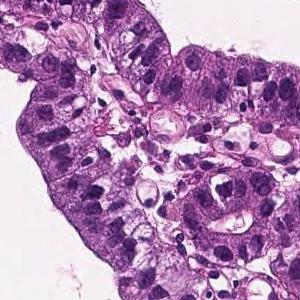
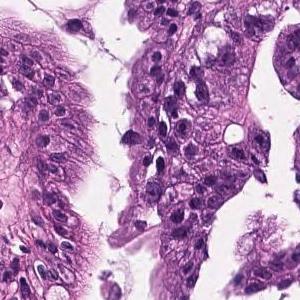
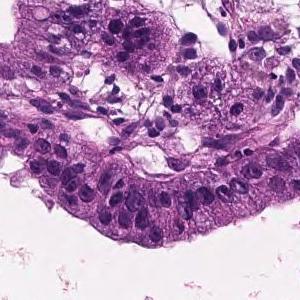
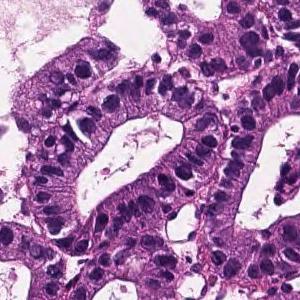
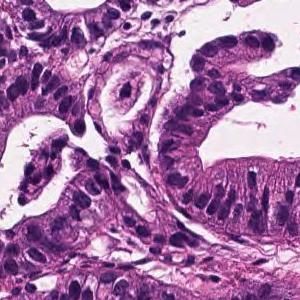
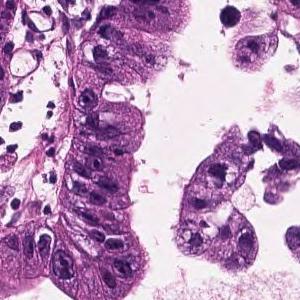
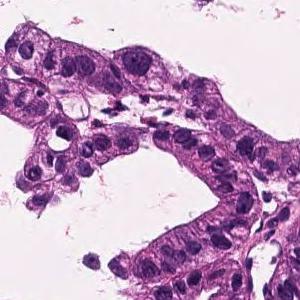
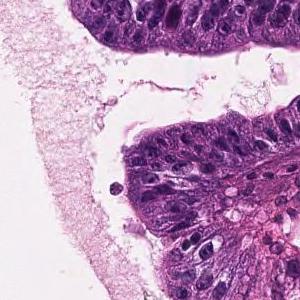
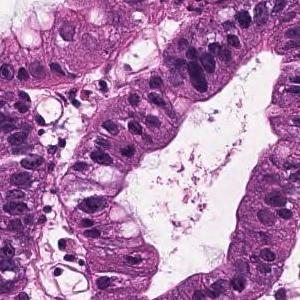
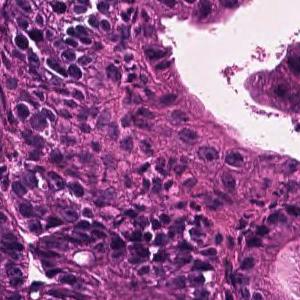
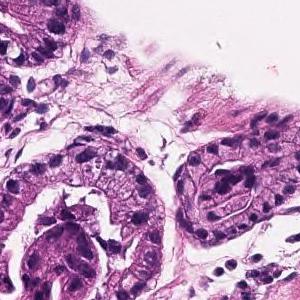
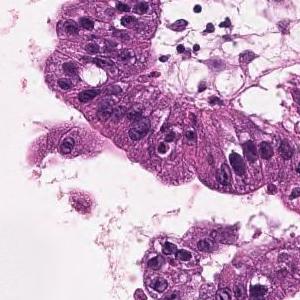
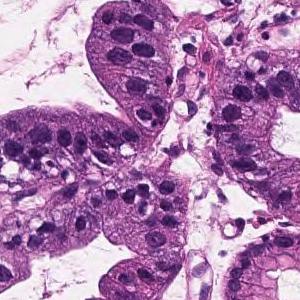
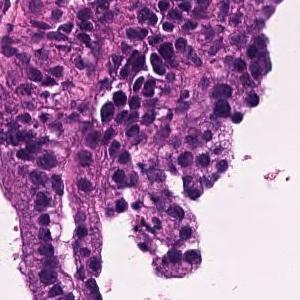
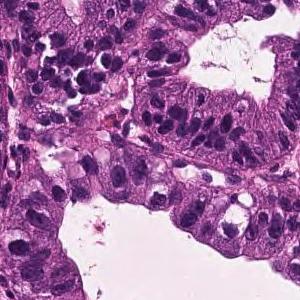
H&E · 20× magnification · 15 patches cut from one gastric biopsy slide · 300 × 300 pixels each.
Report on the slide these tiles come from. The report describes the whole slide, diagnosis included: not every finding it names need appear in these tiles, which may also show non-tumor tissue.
On the superficial epithelium, tumor tissue that infiltrates by forming medium-sized papillary or small irregular ducts is observed. Papillary adenocarcinoma
